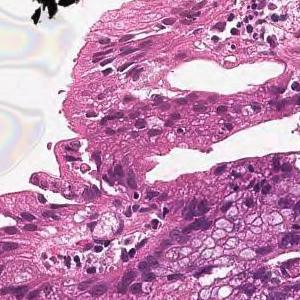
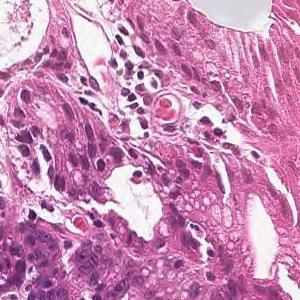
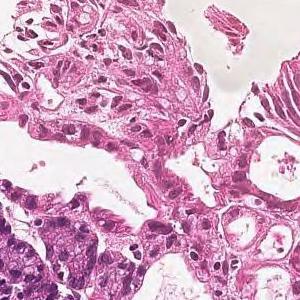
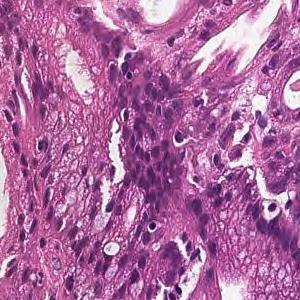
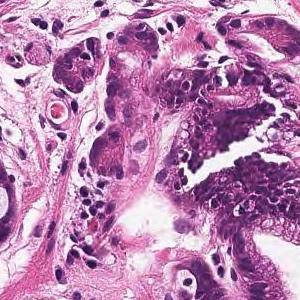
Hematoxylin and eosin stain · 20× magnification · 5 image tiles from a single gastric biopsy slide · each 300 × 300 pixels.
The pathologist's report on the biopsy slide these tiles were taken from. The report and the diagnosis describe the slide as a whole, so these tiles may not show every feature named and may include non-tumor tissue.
In the superficial epithelium, tumor tissue that invades by forming medium-sized to small, irregular ducts is observed. moderately differentiated tubular adenocarcinoma.
